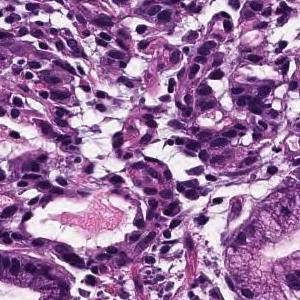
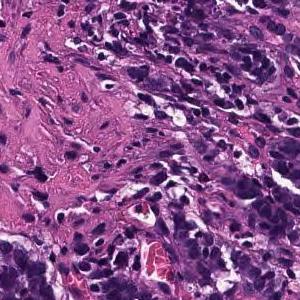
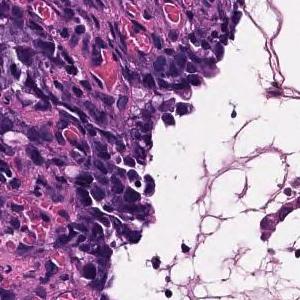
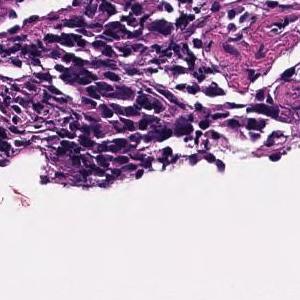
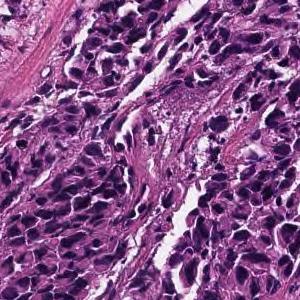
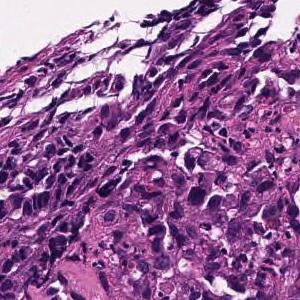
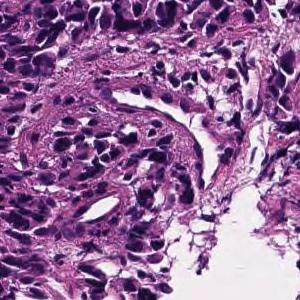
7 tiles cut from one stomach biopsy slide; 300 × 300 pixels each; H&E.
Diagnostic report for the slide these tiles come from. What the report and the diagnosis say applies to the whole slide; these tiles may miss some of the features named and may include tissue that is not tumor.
Poorly differentiated, solid adenocarcinoma (poorly differentiated adenocarcinoma, solid type) with tumor tissue diffusely infiltrated with atypical epithelial cells
Histological subtype: Poorly differentiated adenocarcinoma, solid type. This name comes from the Japanese Classification of Gastric Carcinoma; the WHO 2019 classification calls it tubular adenocarcinoma, poorly differentiated.
